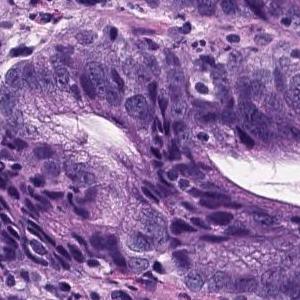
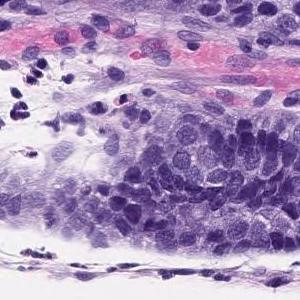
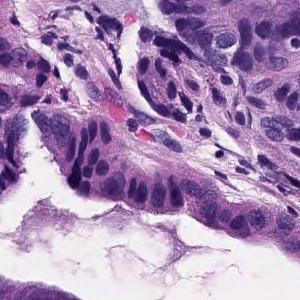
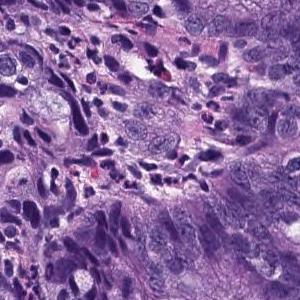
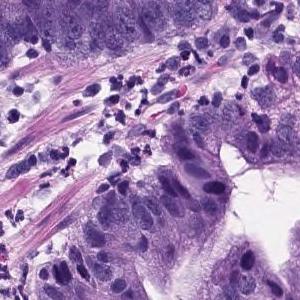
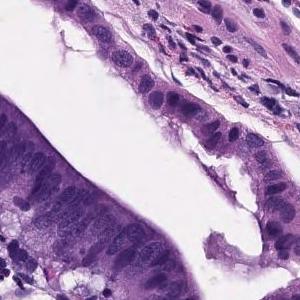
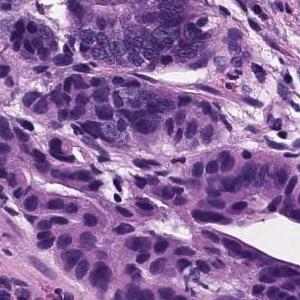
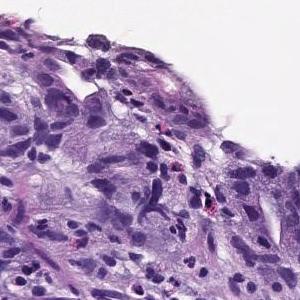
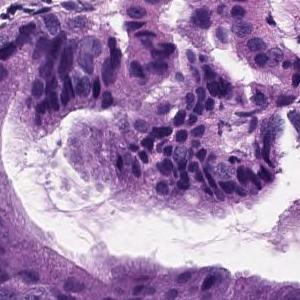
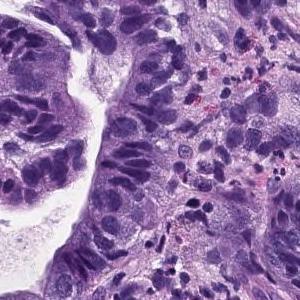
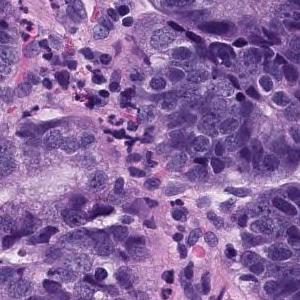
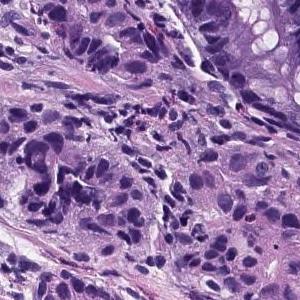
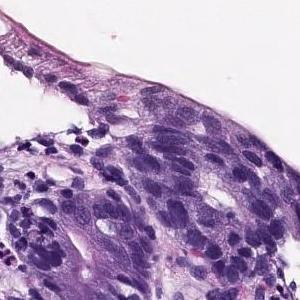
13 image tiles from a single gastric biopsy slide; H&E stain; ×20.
Diagnostic report for the slide these tiles come from. Both the report and the diagnosis are for the whole slide: these tiles need not show every feature named, and some of the tissue shown may not be tumor.
Tumor tissue consisting of large papillary structures is found in the superficial epithelium. Papillary adenocarcinoma.
